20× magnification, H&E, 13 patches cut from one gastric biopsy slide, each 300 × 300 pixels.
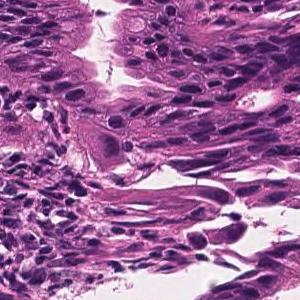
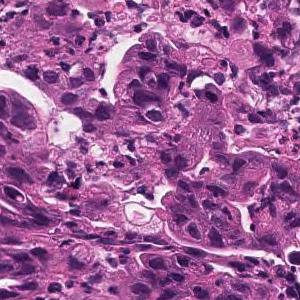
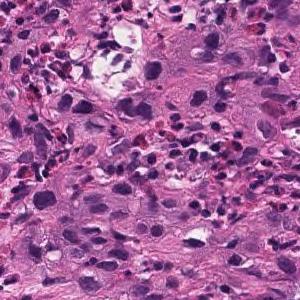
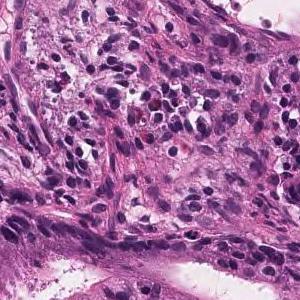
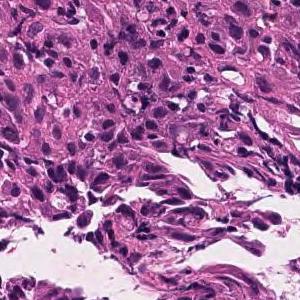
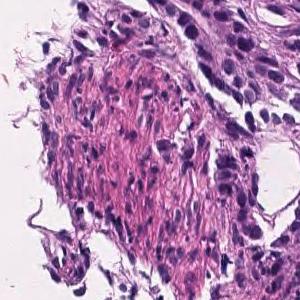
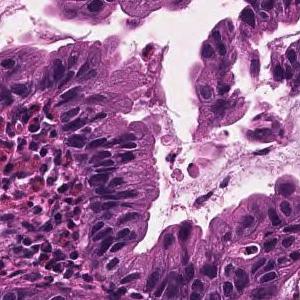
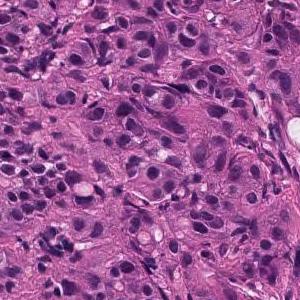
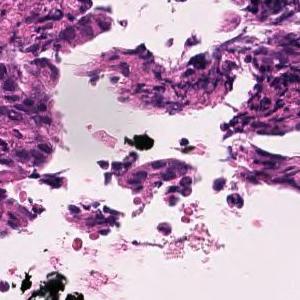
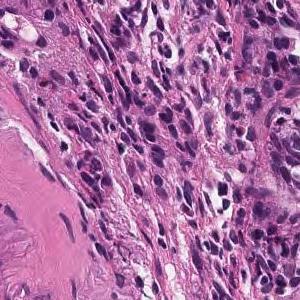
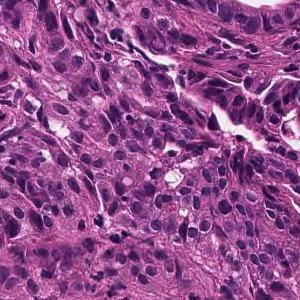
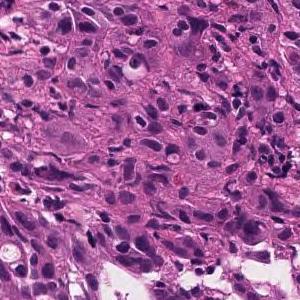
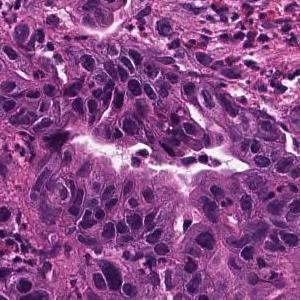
Report on the slide these tiles come from. What the report and the diagnosis say applies to the whole slide; these tiles may miss some of the features named and may include tissue that is not tumor.
Tumor tissue consisting of medium-sized, cord-like or irregular glandular infiltration is observed in the superficial epithelium. Poorly differentiated adenocarcinoma, non-solid type or moderately differentiated tubular adenocarcinoma
The non-solid type named here is a Japanese Classification of Gastric Carcinoma category.
